H&E; 8 patches cut from one gastric biopsy slide; 300 × 300 pixels each.
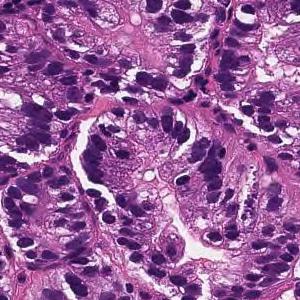
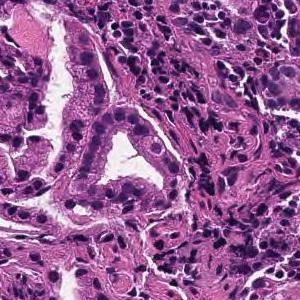
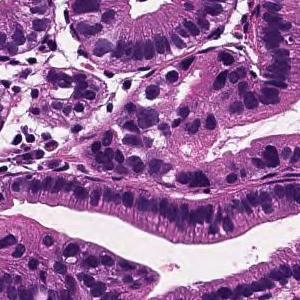
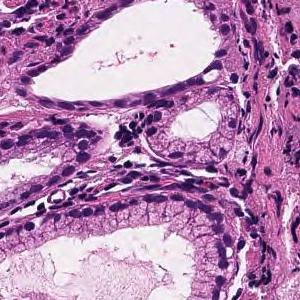
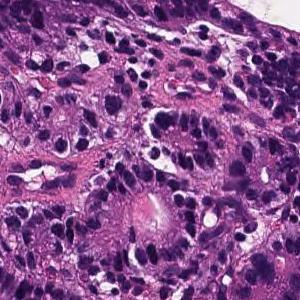
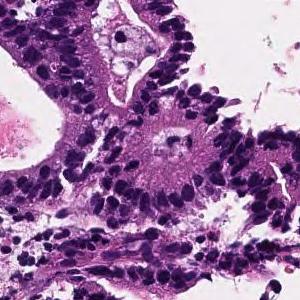
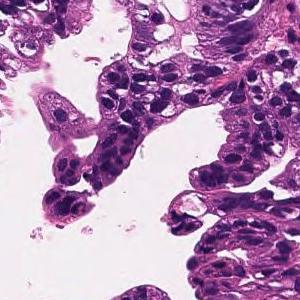
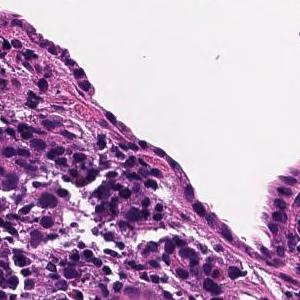
Report on the slide these tiles come from. Both the report and the diagnosis are for the whole slide: these tiles need not show every feature named, and some of the tissue shown may not be tumor.
From the superficial epithelium to the muscularis mucosae, tumor tissue consisting of medium-sized and irregular glandular ducts infiltrating is observed. Well differentiated tubular adenocarcinoma
